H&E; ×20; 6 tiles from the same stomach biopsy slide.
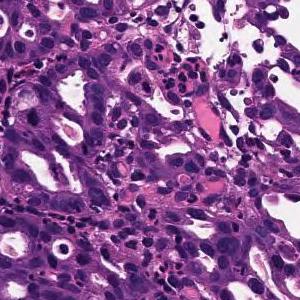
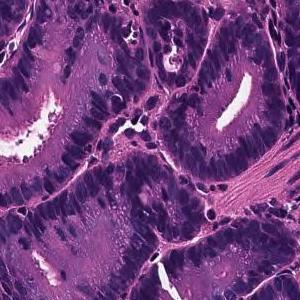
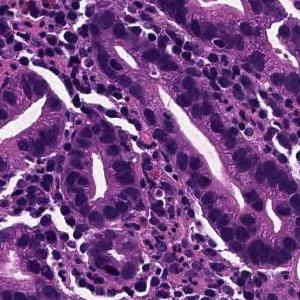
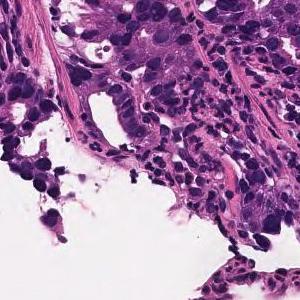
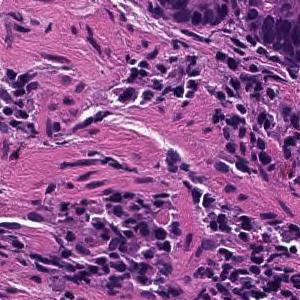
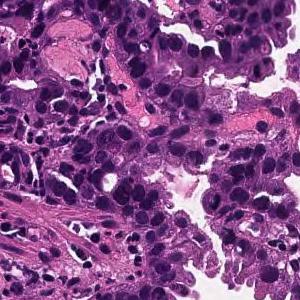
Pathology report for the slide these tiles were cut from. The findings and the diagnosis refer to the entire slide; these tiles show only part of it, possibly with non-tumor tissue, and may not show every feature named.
On the superficial epithelium, tumor tissue is found in which medium-sized irregular gland ducts fuse with each other and infiltrate. moderately differentiated tubular adenocarcinoma
